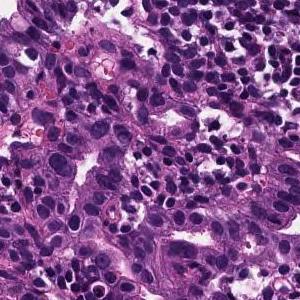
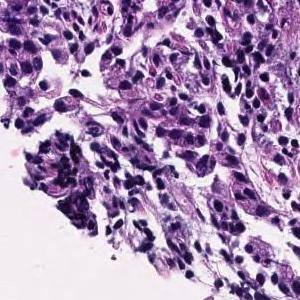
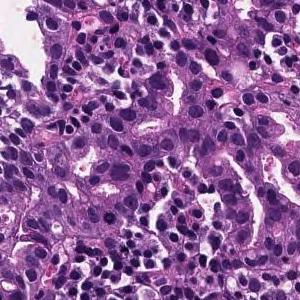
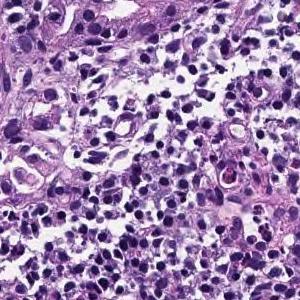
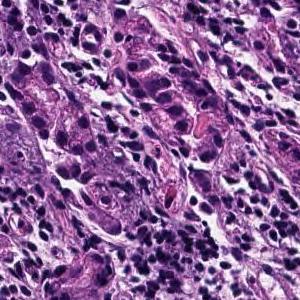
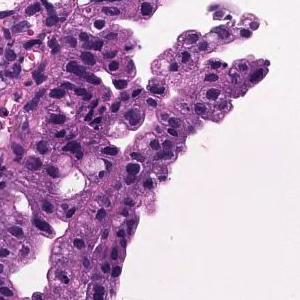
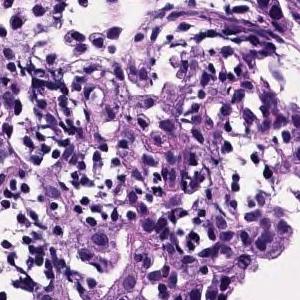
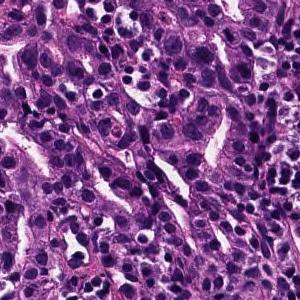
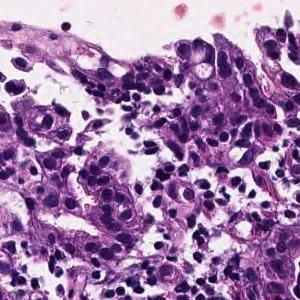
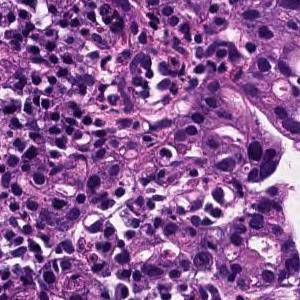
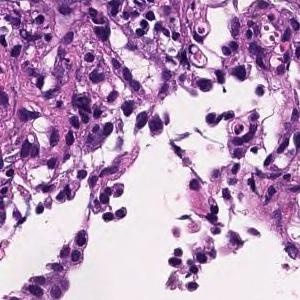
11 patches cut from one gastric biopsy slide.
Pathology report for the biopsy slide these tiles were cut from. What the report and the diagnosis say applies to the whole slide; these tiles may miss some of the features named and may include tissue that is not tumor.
Medium to small, irregular glandular ducts are formed in the superficial epithelium, and in some cases, the glandular ducts are fused to show solid alveolar lesions and infiltrating tumor tissue is observed. Moderately to poorly differentiated adenocarcinoma.
